6 patches cut from one gastric biopsy slide; 300 × 300 pixels each; H&E stain.
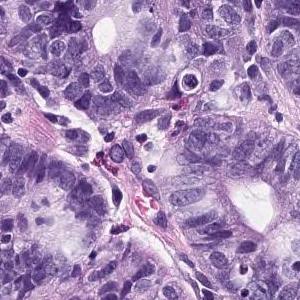
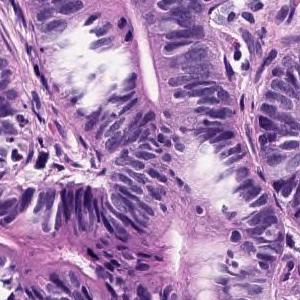
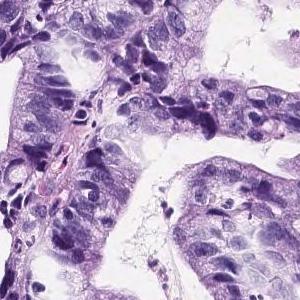
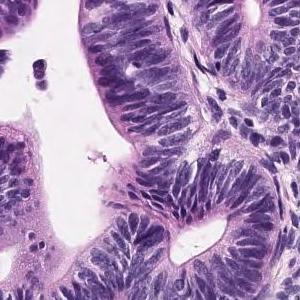
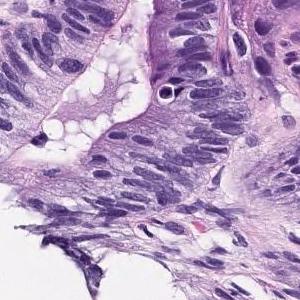
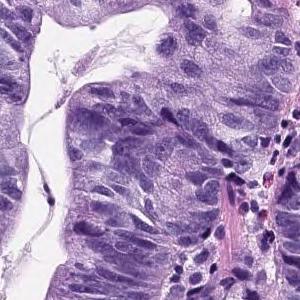
Pathology report for the biopsy slide these tiles were cut from. What the report and the diagnosis say applies to the whole slide; these tiles may miss some of the features named and may include tissue that is not tumor.
On the superficial epithelium, tumor tissue consisting of medium-sized to large-sized, round or irregular glandular duct growth images is observed. Well differentiated adenocarcinoma.
Classified as well differentiated tubular adenocarcinoma.
